9 image tiles from a single gastric biopsy slide, 300×300 px each, H&E stain, ×20.
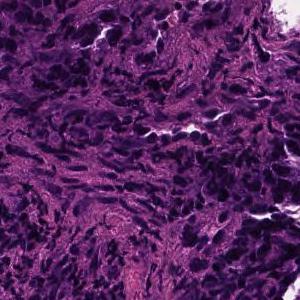
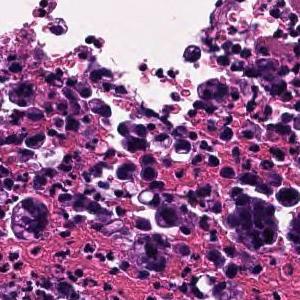
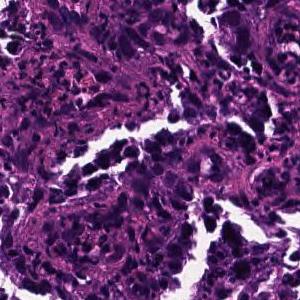
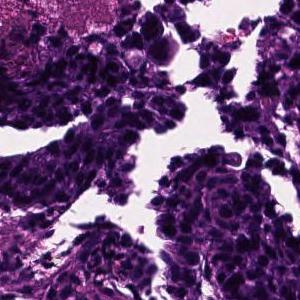
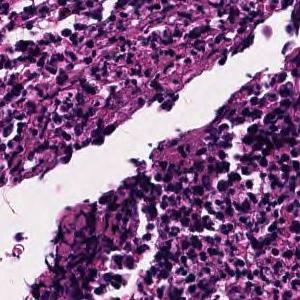
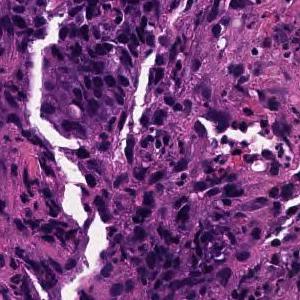
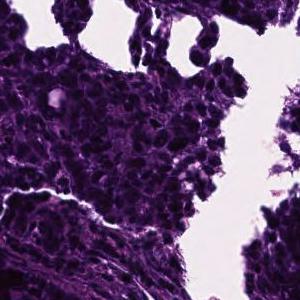
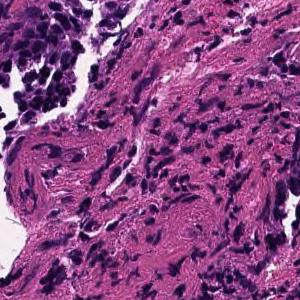
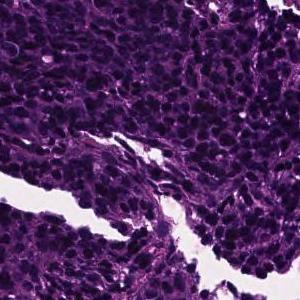
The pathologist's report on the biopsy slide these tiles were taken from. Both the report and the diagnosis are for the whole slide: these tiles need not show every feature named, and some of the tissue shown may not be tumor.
In the superficial epithelium, tumor tissue that invades by forming medium-sized to small, irregular ducts is observed. moderately differentiated tubular adenocarcinoma.
